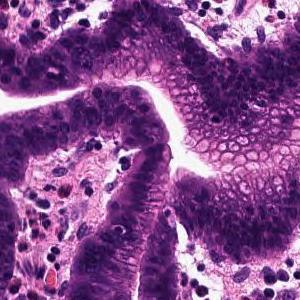
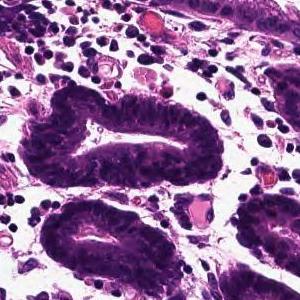
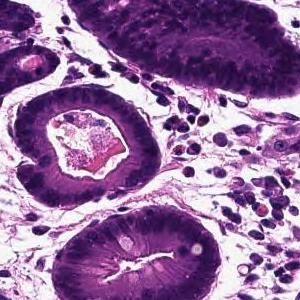
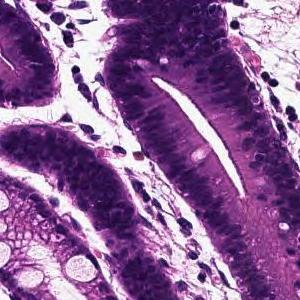
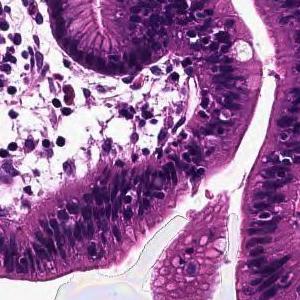
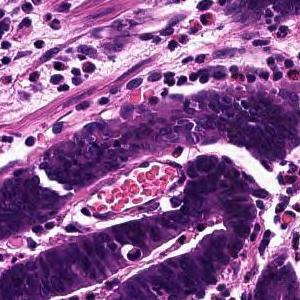
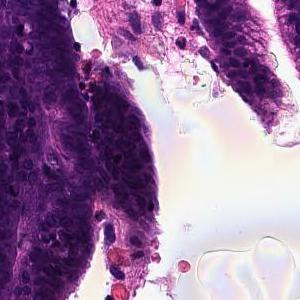
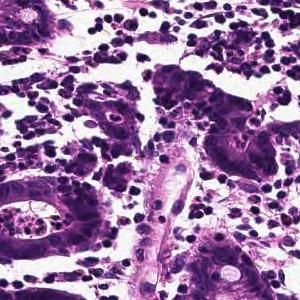
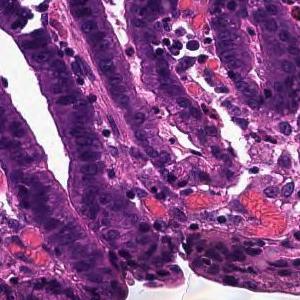
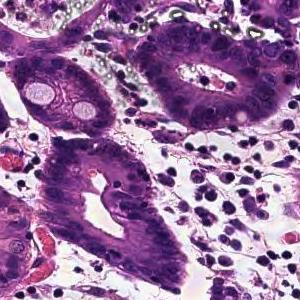
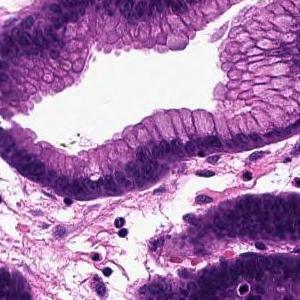
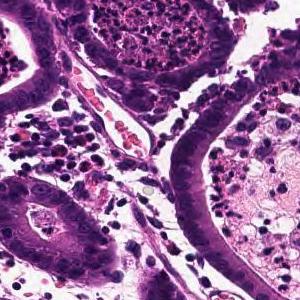
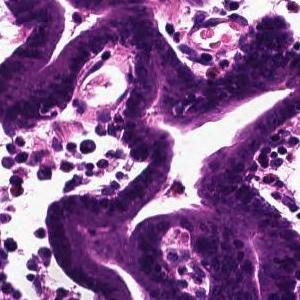
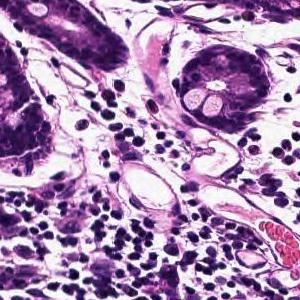
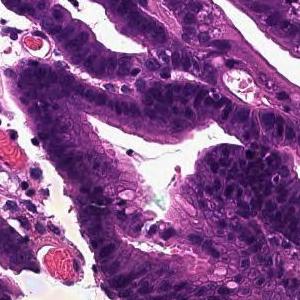
15 image tiles from a single gastric biopsy slide, 300 × 300 pixels each, hematoxylin and eosin stain, 20× magnification.
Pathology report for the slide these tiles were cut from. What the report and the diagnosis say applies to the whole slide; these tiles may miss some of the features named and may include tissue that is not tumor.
Tumor tissue that infiltrates by forming large papillary or large irregular glandular ducts is observed confined to the mucosa. Papillary adenocarcinoma
